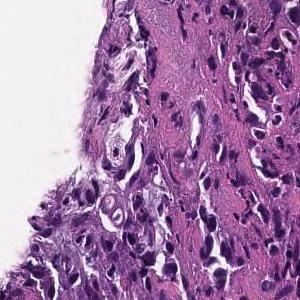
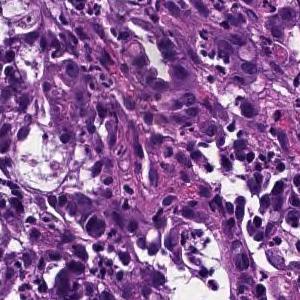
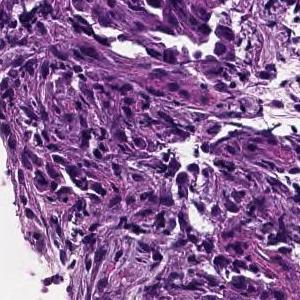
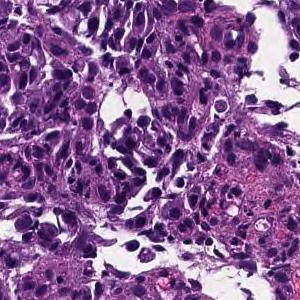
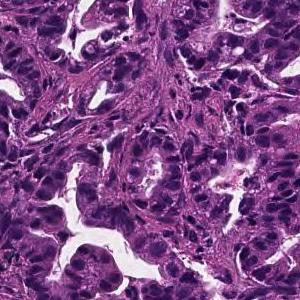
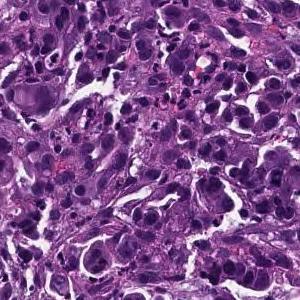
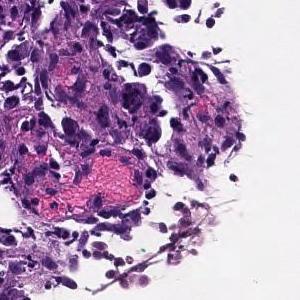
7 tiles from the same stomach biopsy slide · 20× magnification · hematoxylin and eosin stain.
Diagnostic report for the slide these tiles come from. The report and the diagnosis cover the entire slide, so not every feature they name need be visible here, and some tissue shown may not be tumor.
Tumor tissue consisting of medium-sized, cord-like or irregular glandular infiltration is observed in the superficial epithelium. Poorly differentiated adenocarcinoma, non-solid type or moderately differentiated tubular adenocarcinoma
Subtype: Moderately to poorly differentiated adenocarcinoma.
"Non-solid type" is a category of the Japanese Classification of Gastric Carcinoma.
